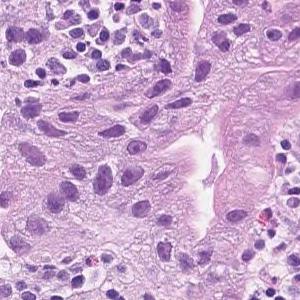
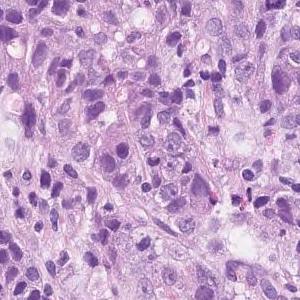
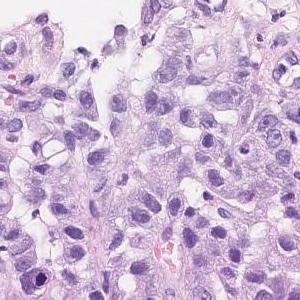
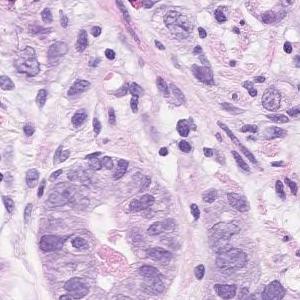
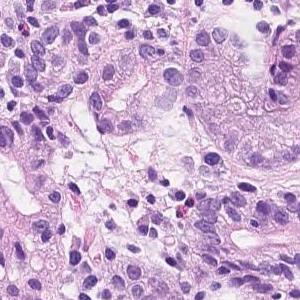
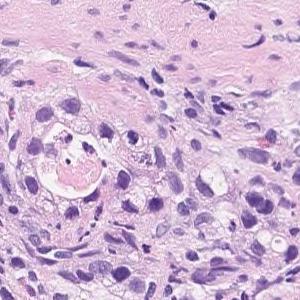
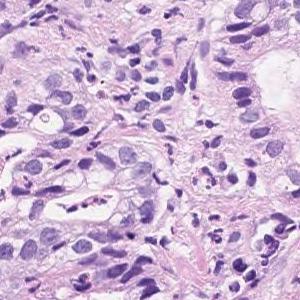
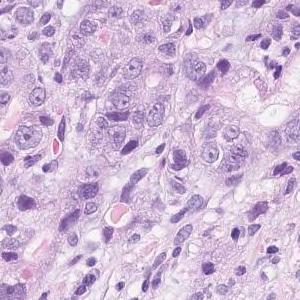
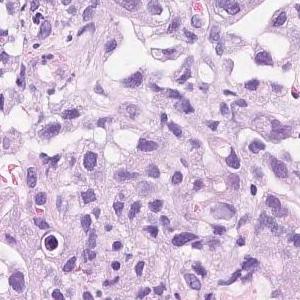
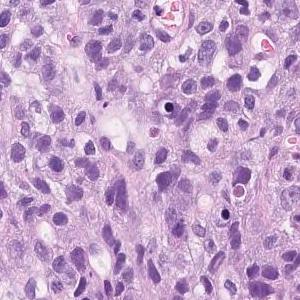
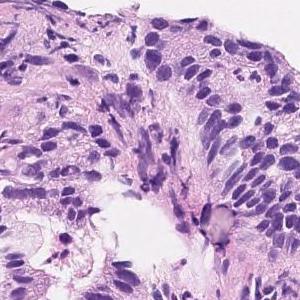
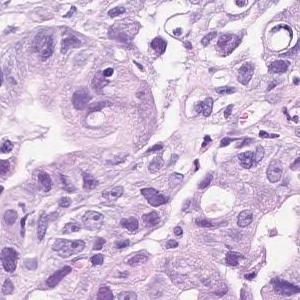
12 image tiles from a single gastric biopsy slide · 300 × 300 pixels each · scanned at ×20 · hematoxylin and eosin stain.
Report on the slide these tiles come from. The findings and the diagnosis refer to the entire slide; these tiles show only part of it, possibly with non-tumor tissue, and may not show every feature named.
In the superficial epithelium, tumor tissue that invades by forming medium-sized to small, irregular ducts is observed. Moderately to poorly differentiated adenocarcinoma
